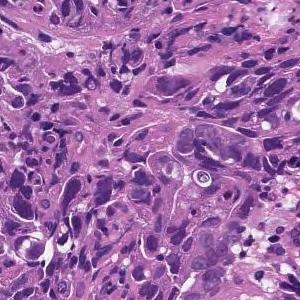
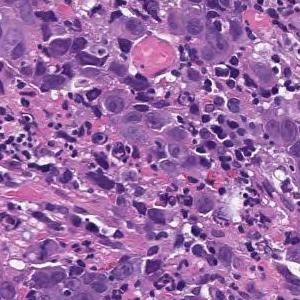
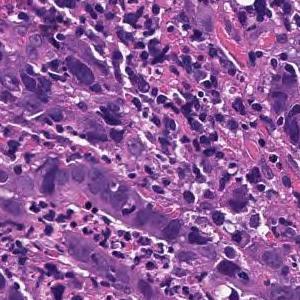
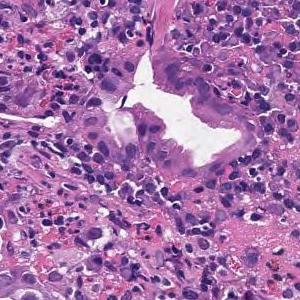
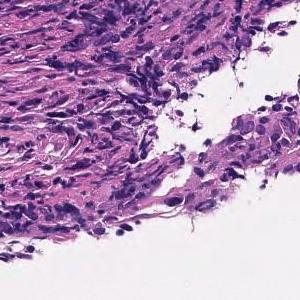
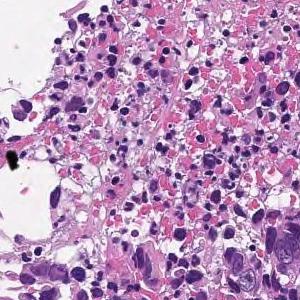
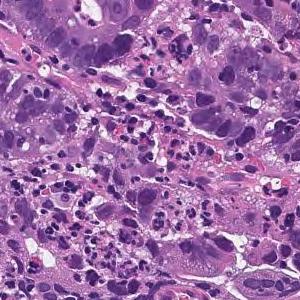
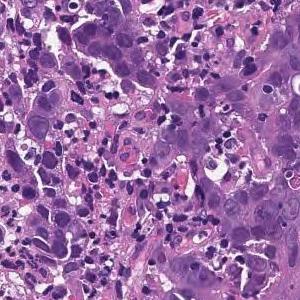
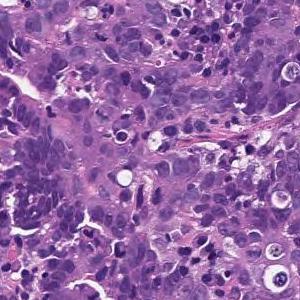
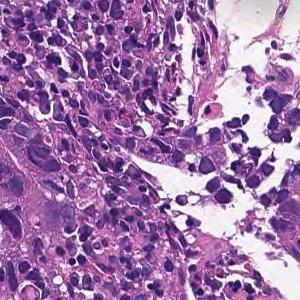
10 tiles cut from one stomach biopsy slide · 300 × 300 pixels each · ×20 · H&E stain.
The pathologist's report on the biopsy slide these tiles were taken from. The report describes the whole slide, diagnosis included: not every finding it names need appear in these tiles, which may also show non-tumor tissue.
Tumor tissue consisting of cord-like or small, irregular glandular ducts fused and infiltrated is observed in the superficial epithelium. Poorly differentiated adenocarcinoma, non-solid type
The non-solid type named here is a Japanese Classification of Gastric Carcinoma category.
